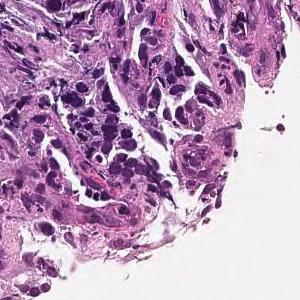
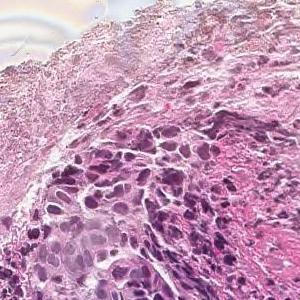
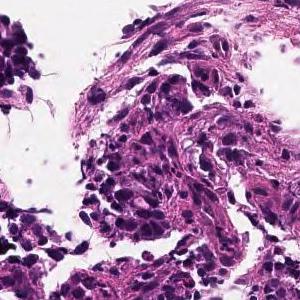
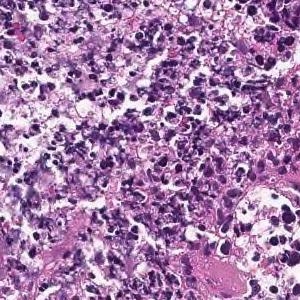
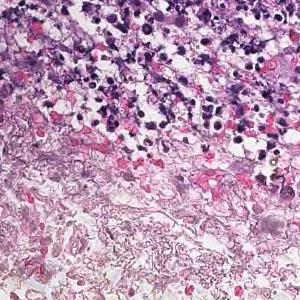
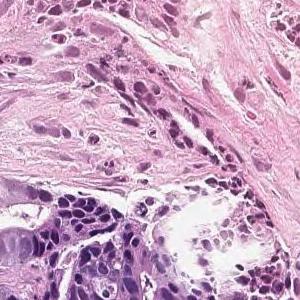
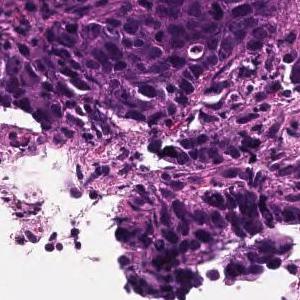
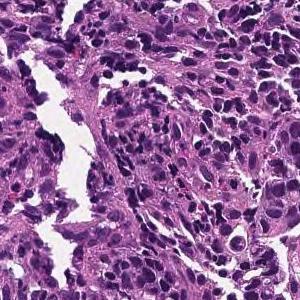
×20; H&E; 8 tiles from the same stomach biopsy slide.
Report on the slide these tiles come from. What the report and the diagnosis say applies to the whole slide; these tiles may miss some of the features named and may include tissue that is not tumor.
In the superficial epithelium, tumor tissue that invades by forming medium-sized to small, irregular ducts is observed. moderately differentiated tubular adenocarcinoma.
